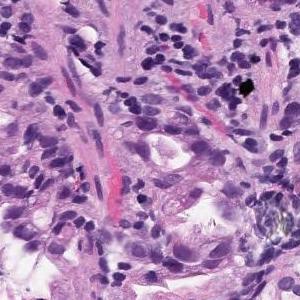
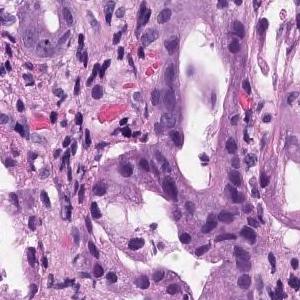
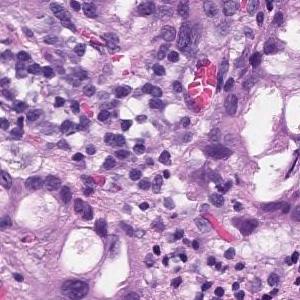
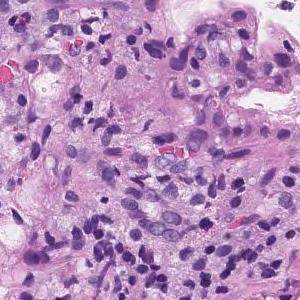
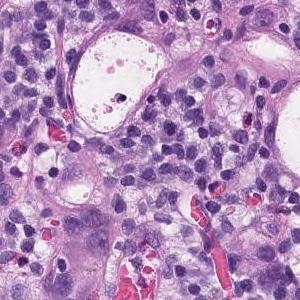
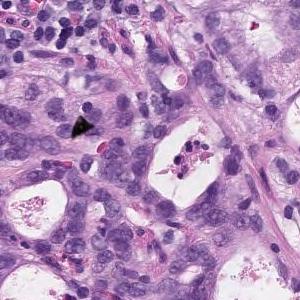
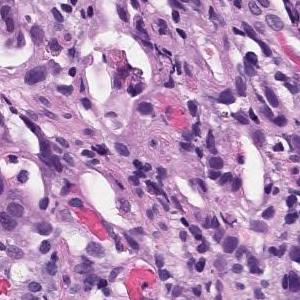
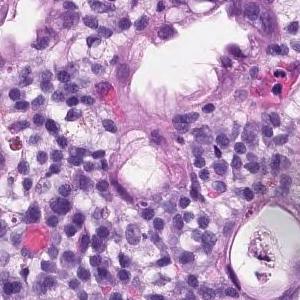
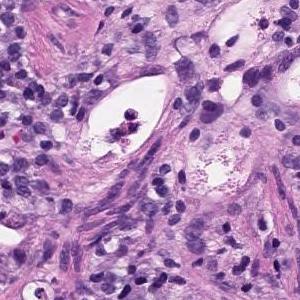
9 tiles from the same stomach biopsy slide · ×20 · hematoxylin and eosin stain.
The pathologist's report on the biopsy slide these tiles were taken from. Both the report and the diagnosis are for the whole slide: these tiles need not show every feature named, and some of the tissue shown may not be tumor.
In the superficial epithelium, tumor tissue that invades by forming medium-sized to small, irregular ducts is observed. Moderately differentiated adenocarcinoma.
Tumor subtype: moderately differentiated tubular adenocarcinoma.
